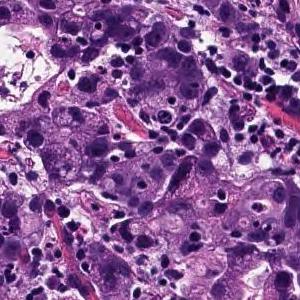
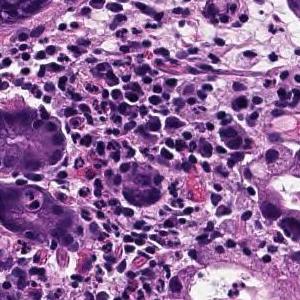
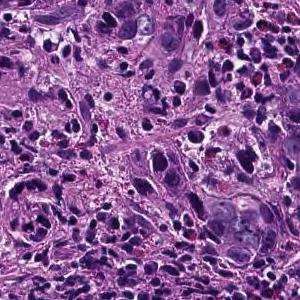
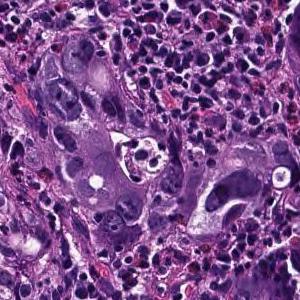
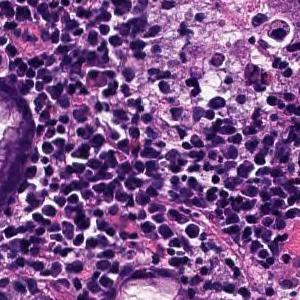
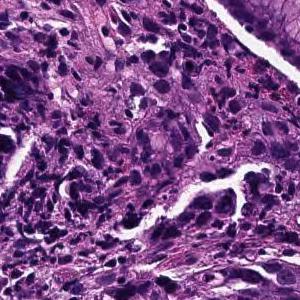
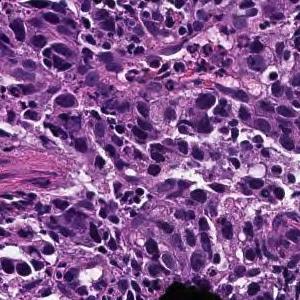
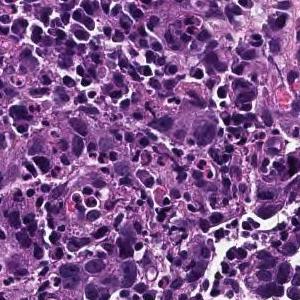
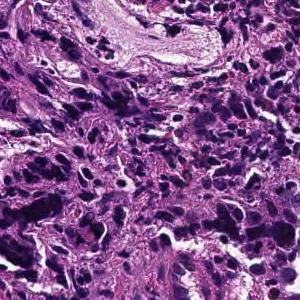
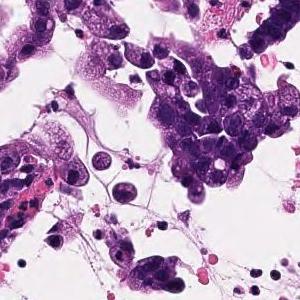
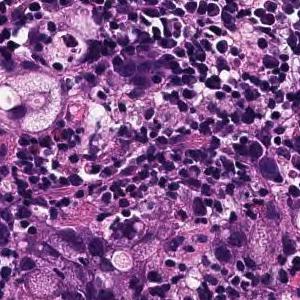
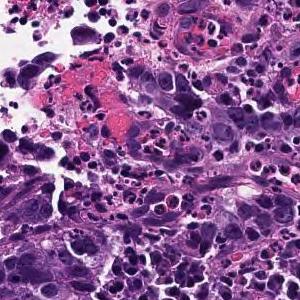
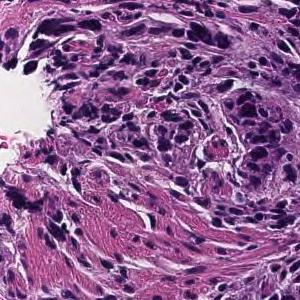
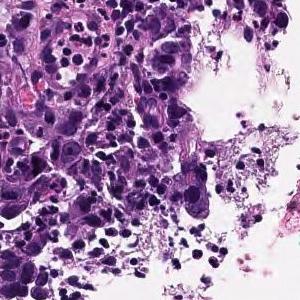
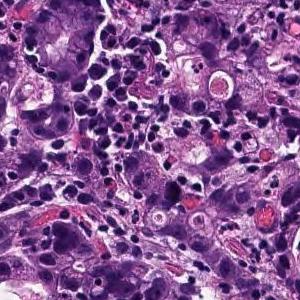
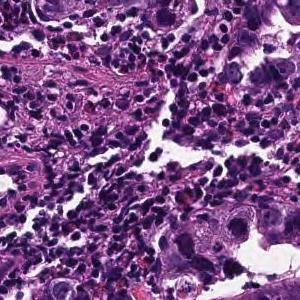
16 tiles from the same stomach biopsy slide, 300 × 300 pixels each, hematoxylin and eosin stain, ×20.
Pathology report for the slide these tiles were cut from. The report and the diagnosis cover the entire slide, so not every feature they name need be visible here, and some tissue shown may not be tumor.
Tumor tissue consisting of medium-sized, cord-like or irregular glandular infiltration is observed in the superficial epithelium. Poorly differentiated adenocarcinoma, non-solid type or moderately differentiated tubular adenocarcinoma
Subtype: Moderately to poorly differentiated adenocarcinoma.
"Non-solid type" is a category of the Japanese Classification of Gastric Carcinoma.
